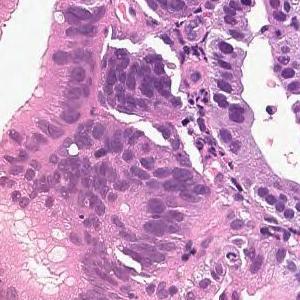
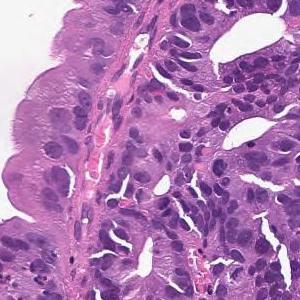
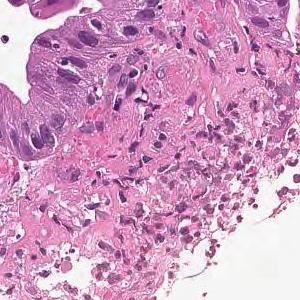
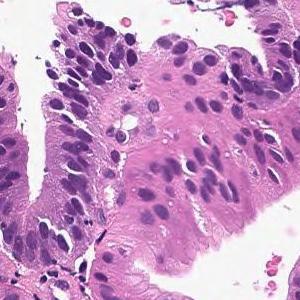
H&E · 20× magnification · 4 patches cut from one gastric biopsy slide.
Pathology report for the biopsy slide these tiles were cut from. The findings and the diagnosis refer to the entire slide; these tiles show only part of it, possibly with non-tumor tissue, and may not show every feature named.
From the superficial epithelium to the muscularis mucosae, tumor tissue consisting of medium-sized and irregular glandular ducts infiltrating is observed. Well differentiated tubular adenocarcinoma
